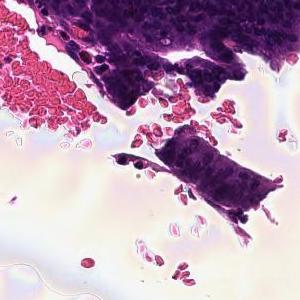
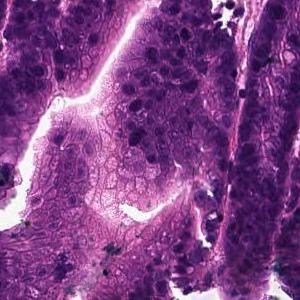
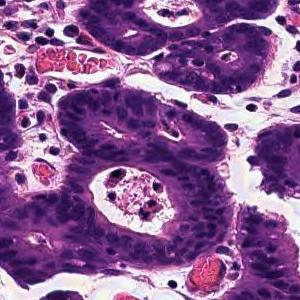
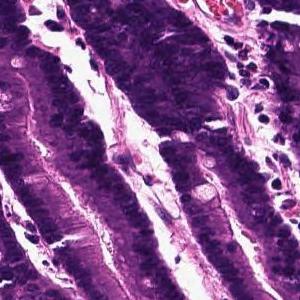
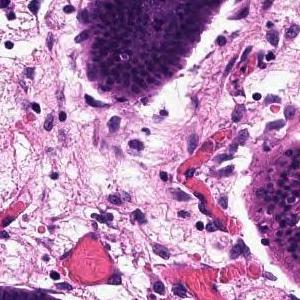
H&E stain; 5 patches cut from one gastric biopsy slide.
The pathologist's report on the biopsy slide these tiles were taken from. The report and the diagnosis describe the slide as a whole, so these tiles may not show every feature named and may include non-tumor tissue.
Tumor tissue that infiltrates by forming large papillary or large irregular glandular ducts is observed confined to the mucosa. Papillary adenocarcinoma
